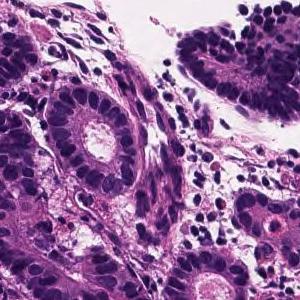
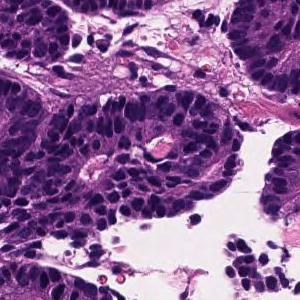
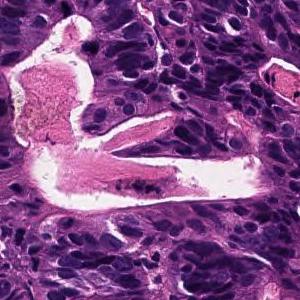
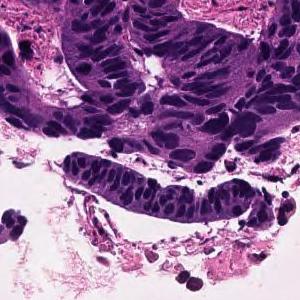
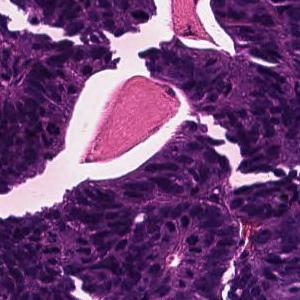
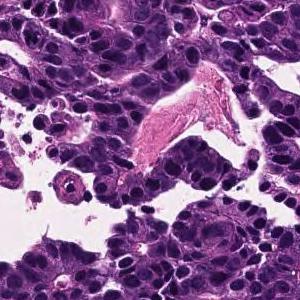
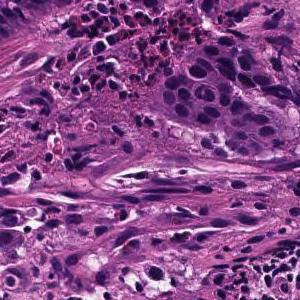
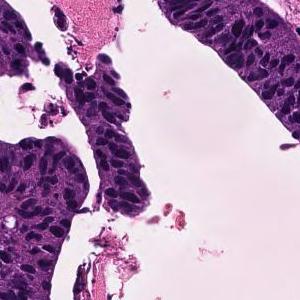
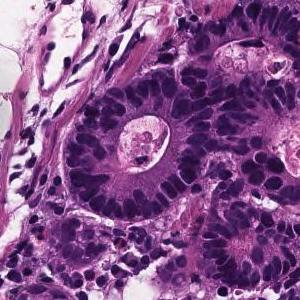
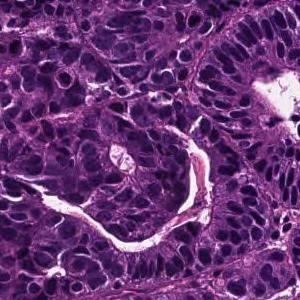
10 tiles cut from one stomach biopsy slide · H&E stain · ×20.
The pathologist's report on the biopsy slide these tiles were taken from. What the report and the diagnosis say applies to the whole slide; these tiles may miss some of the features named and may include tissue that is not tumor.
In the superficial epithelium, tumor tissue that invades by forming medium-sized to small, irregular ducts is observed. moderately differentiated tubular adenocarcinoma.
